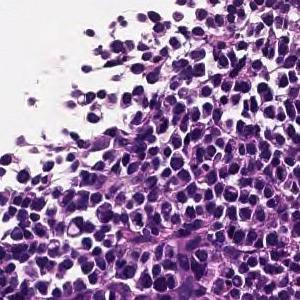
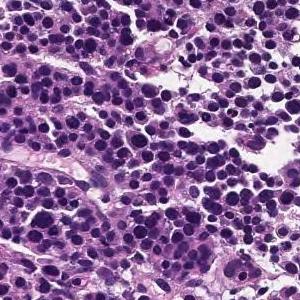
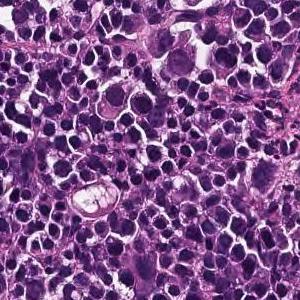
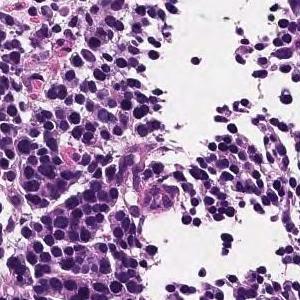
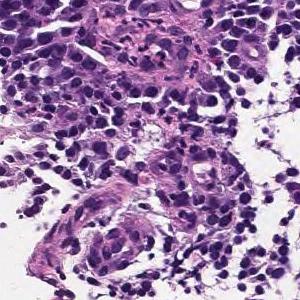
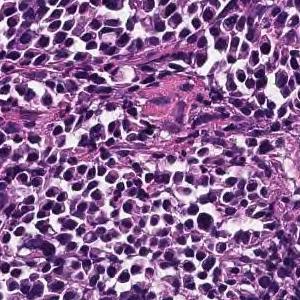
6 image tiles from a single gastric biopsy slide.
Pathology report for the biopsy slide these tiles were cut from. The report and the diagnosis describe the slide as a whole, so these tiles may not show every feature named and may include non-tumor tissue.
Large sheet-like or diffusely infiltrating tumor tissue is found in the superficial epithelium. Poorly differentiated adenocarcinoma, solid-type
Histological subtype: Poorly differentiated adenocarcinoma, solid type. This name comes from the Japanese Classification of Gastric Carcinoma; the WHO 2019 classification calls it tubular adenocarcinoma, poorly differentiated.
